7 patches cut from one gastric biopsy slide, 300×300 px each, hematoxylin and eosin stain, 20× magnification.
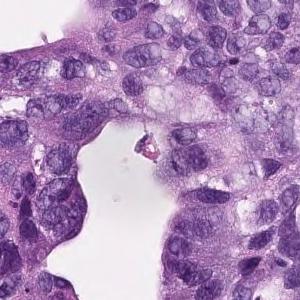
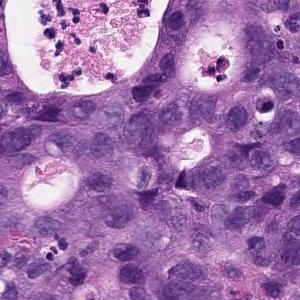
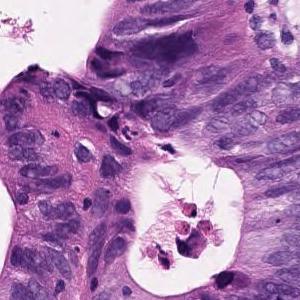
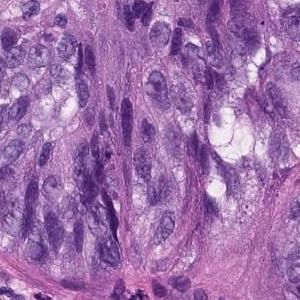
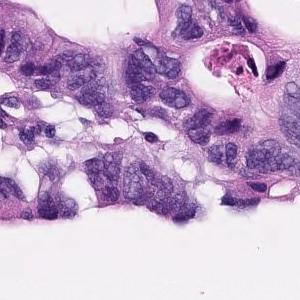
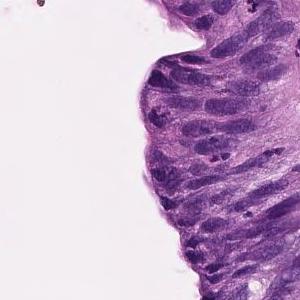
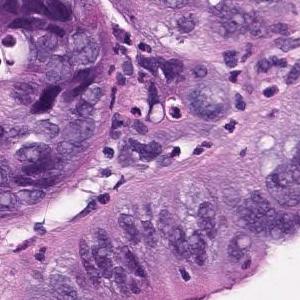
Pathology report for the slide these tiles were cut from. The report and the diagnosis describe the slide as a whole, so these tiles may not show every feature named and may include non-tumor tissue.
In the superficial epithelium, tumor tissue that invades by forming medium-sized to small, irregular ducts is observed. Moderately differentiated adenocarcinoma.
Classified as moderately differentiated tubular adenocarcinoma.
